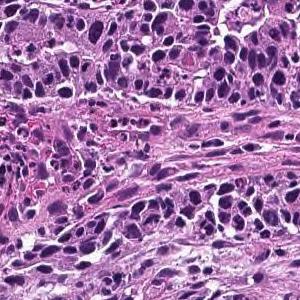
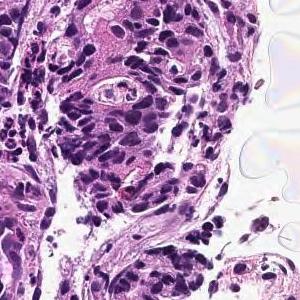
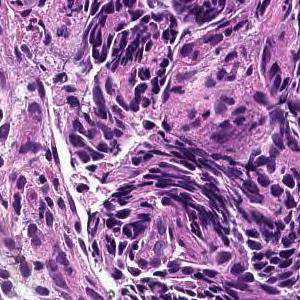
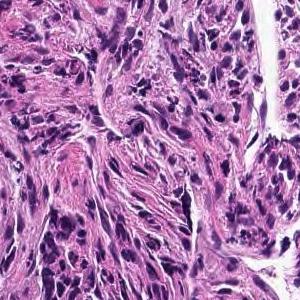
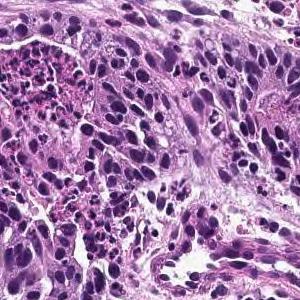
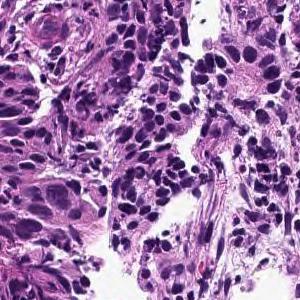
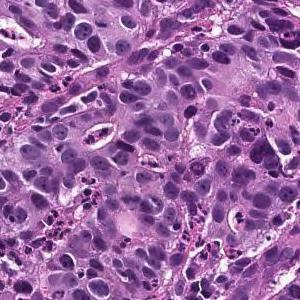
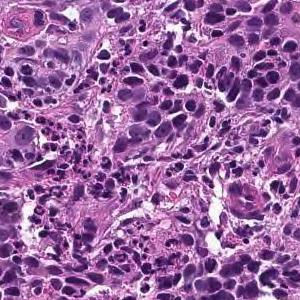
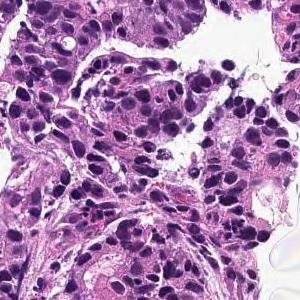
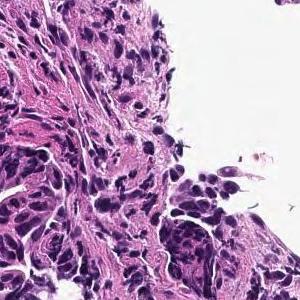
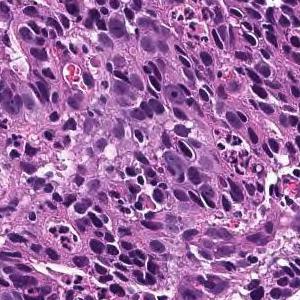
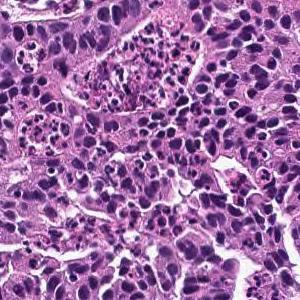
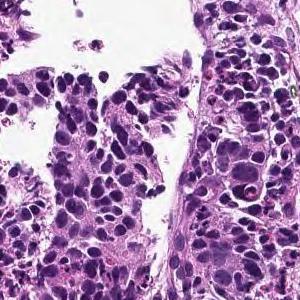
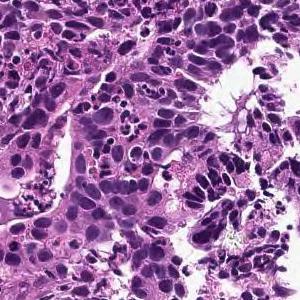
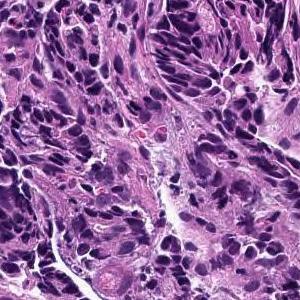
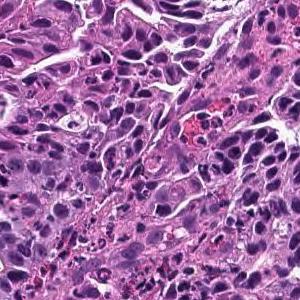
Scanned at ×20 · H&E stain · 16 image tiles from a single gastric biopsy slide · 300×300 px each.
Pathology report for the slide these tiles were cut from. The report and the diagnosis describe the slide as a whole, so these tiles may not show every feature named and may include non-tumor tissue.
In the superficial epithelium, tumor tissue that invades by forming medium-sized to small, irregular ducts is observed. moderately differentiated tubular adenocarcinoma.
